H&E stain; 20× magnification; 15 tiles cut from one stomach biopsy slide; 300×300 px each.
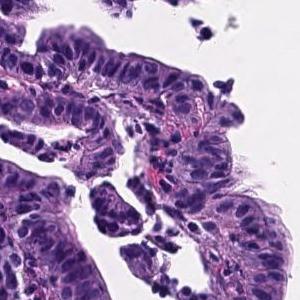
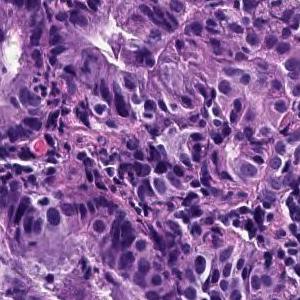
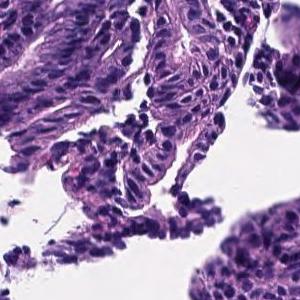
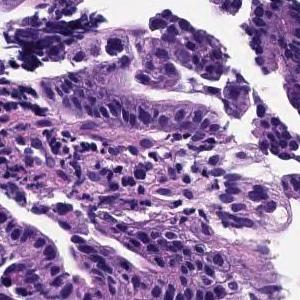
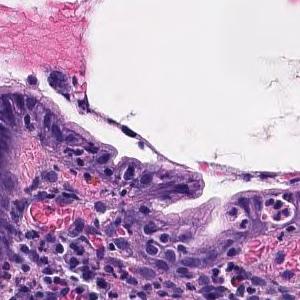
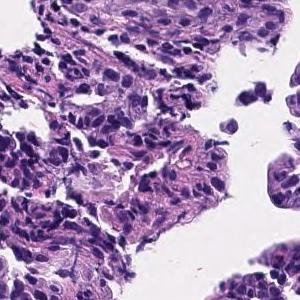
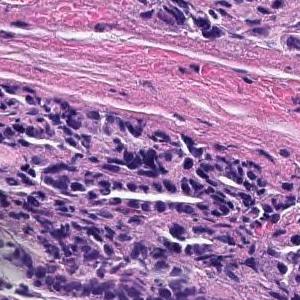
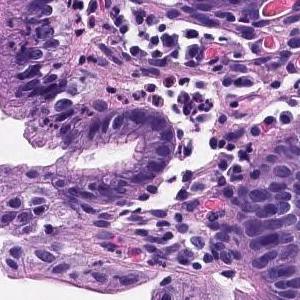
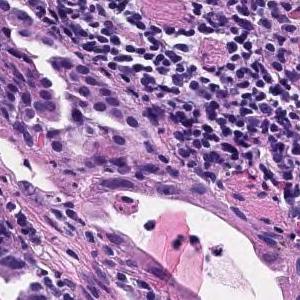
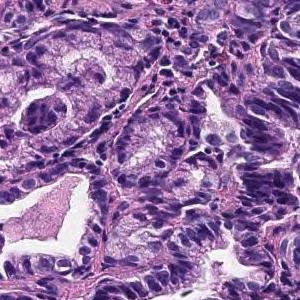
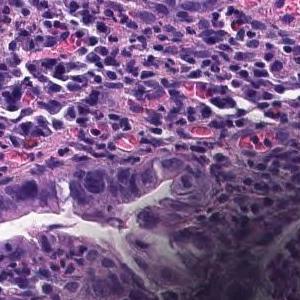
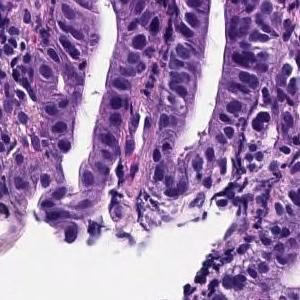
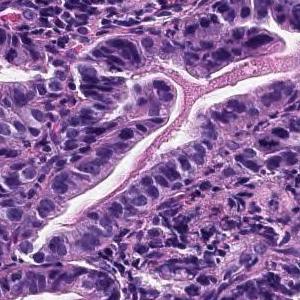
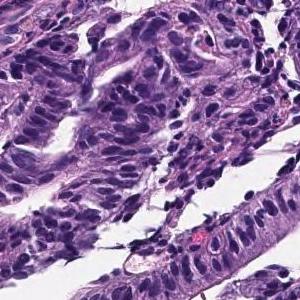
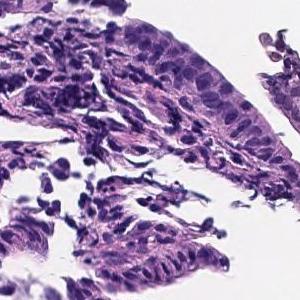
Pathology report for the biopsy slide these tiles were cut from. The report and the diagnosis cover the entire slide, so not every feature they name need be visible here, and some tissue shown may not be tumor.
The superficial tumors shows large papillary structures or large and small ducts and infiltrates. Papillary adenocarcinoma.
